H&E; 7 tiles cut from one stomach biopsy slide; 300 × 300 pixels each.
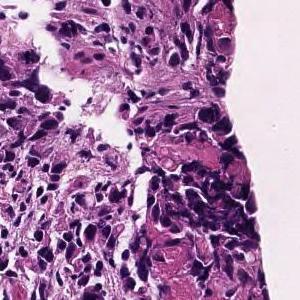
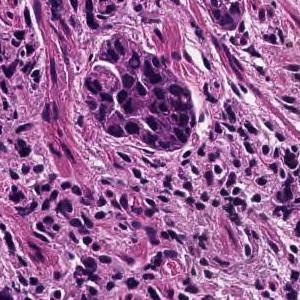
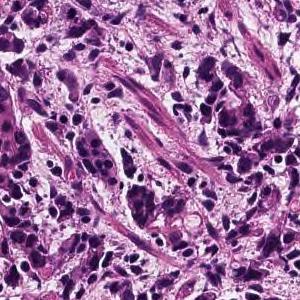
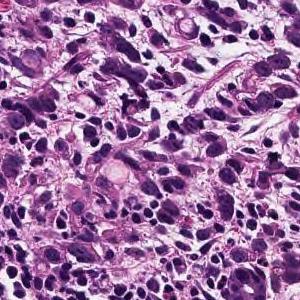
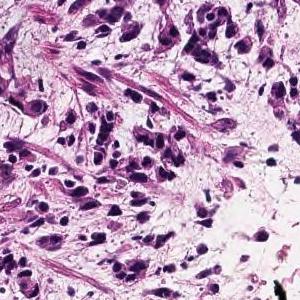
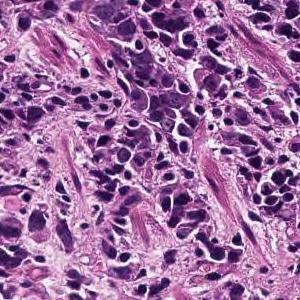
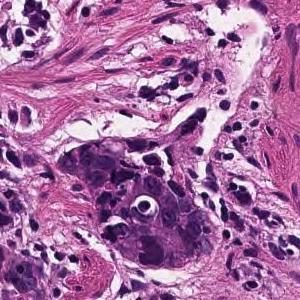
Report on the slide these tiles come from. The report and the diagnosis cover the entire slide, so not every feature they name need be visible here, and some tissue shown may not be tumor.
Tumor tissue consisting of cord-like or small, irregular glandular ducts fused and infiltrated is observed in the superficial epithelium. Poorly differentiated adenocarcinoma, non-solid type
The term "non-solid type" comes from the Japanese Classification of Gastric Carcinoma.
